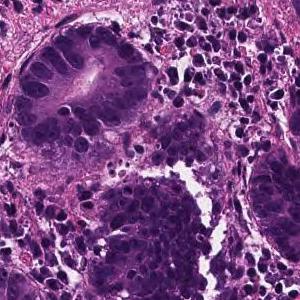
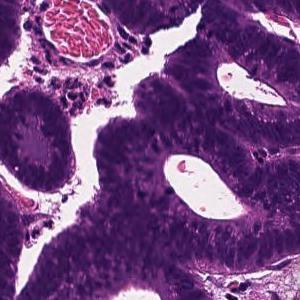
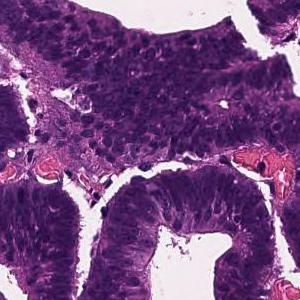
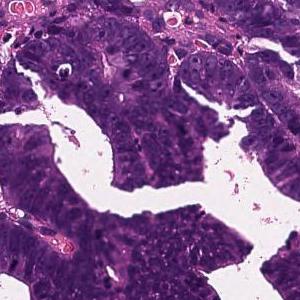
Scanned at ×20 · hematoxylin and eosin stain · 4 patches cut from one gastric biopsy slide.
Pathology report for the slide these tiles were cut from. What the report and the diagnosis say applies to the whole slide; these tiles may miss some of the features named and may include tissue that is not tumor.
Tumor tissue consisting of large papillary structures is found in the superficial epithelium. Papillary adenocarcinoma.
